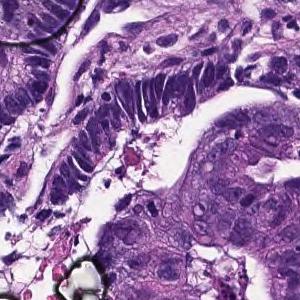
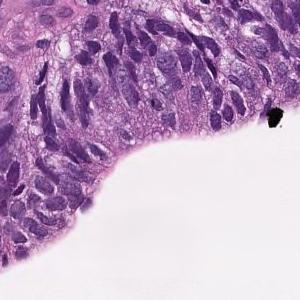
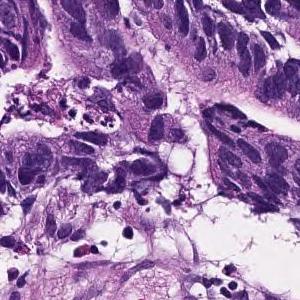
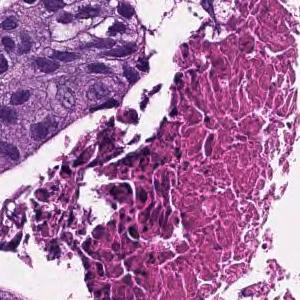
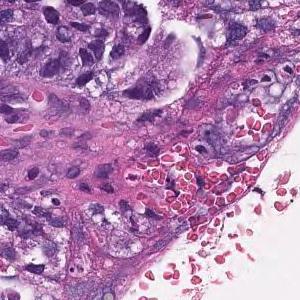
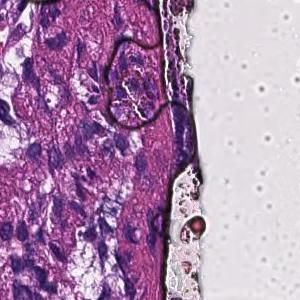
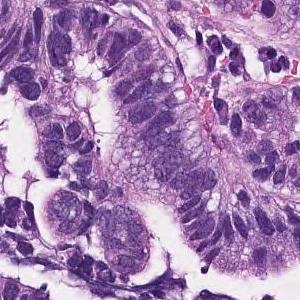
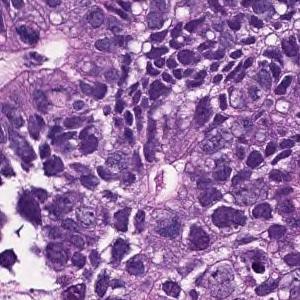
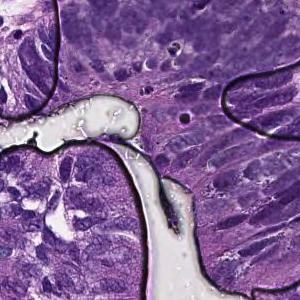
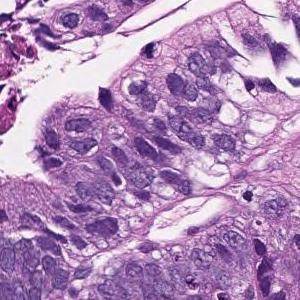
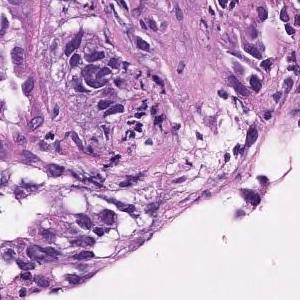
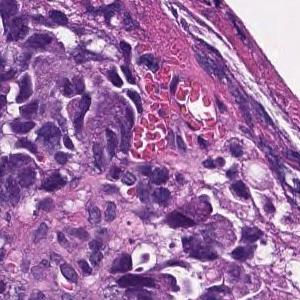
H&E; scanned at ×20; 12 tiles cut from one stomach biopsy slide; each 300 × 300 pixels.
Diagnostic report for the slide these tiles come from. Both the report and the diagnosis are for the whole slide: these tiles need not show every feature named, and some of the tissue shown may not be tumor.
In the superficial epithelium, tumor tissue that invades by forming medium-sized to small, irregular ducts is observed. moderately differentiated tubular adenocarcinoma.
